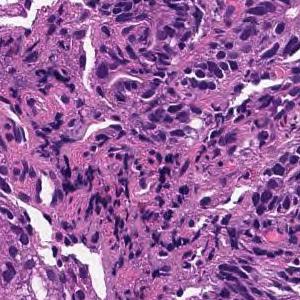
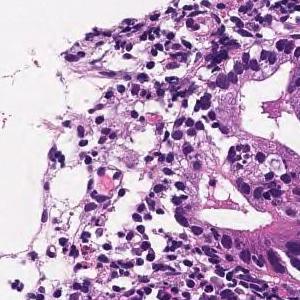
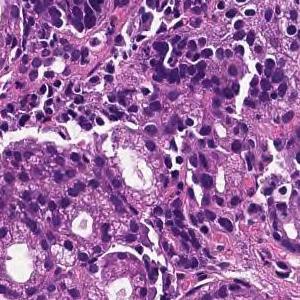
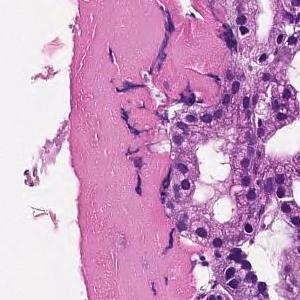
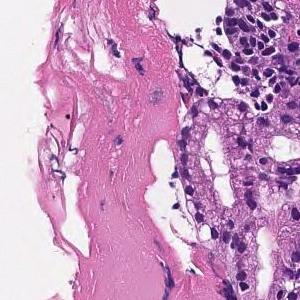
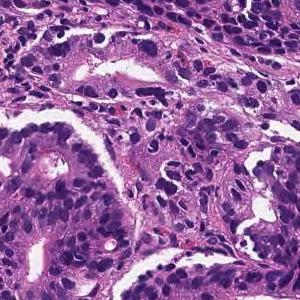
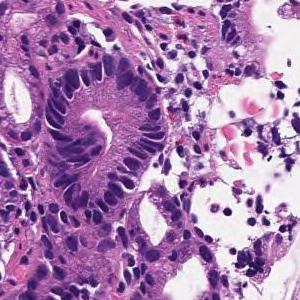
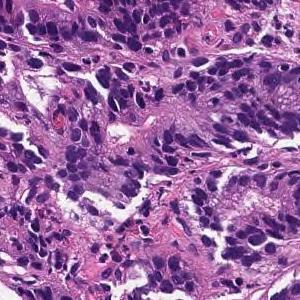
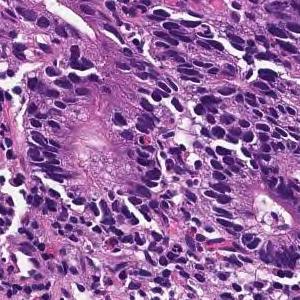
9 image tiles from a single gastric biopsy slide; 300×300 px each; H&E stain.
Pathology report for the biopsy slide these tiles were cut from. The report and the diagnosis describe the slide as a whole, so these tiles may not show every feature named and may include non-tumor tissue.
In the superficial epithelium, tumor tissue that invades by forming medium-sized to small, irregular ducts is observed. moderately differentiated tubular adenocarcinoma.
